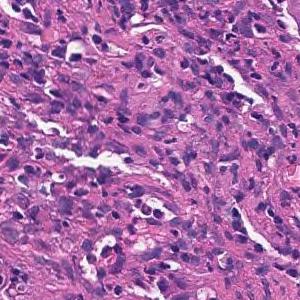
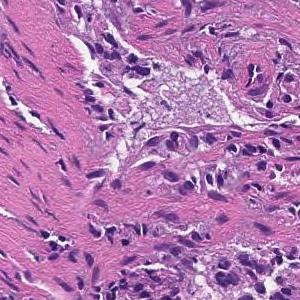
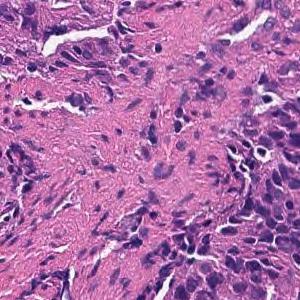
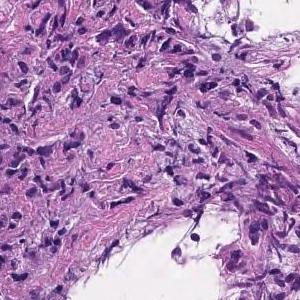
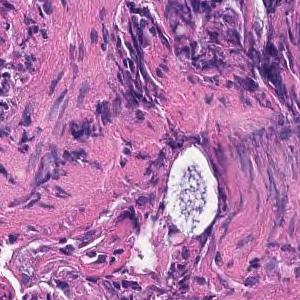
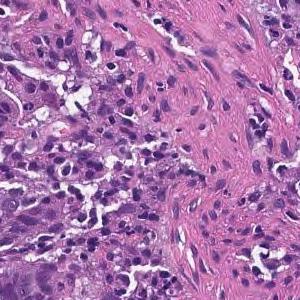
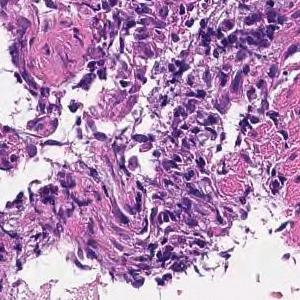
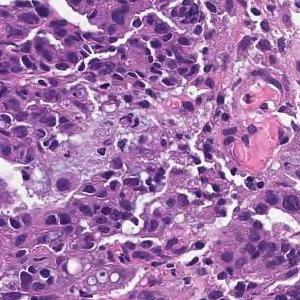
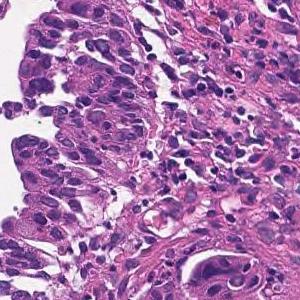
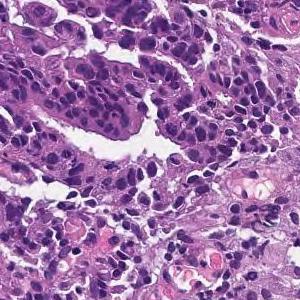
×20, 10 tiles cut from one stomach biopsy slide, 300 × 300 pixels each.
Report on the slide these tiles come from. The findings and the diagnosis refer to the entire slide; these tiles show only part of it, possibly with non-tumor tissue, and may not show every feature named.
On the superficial epithelium, tumor tissue consisting of large, irregular glandular ducts partially fused and infiltrated is observed. Well to moderately differentiated tubular adenocarcinoma (well differentiated tubular adenocarcinoma, moderately differentiated tubular adenocarcinoma)
Subtype: Well to moderately differentiated tubular adenocarcinoma.
